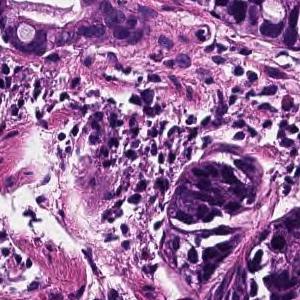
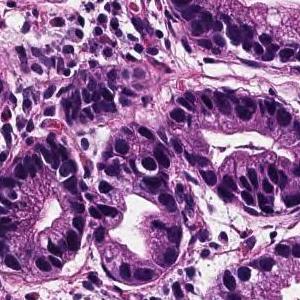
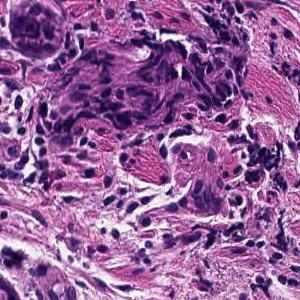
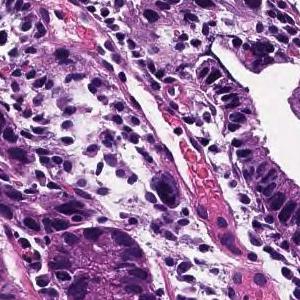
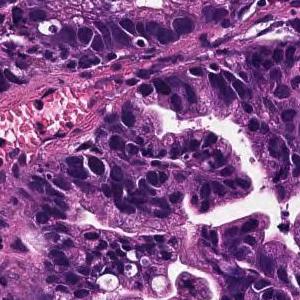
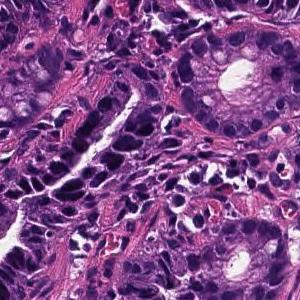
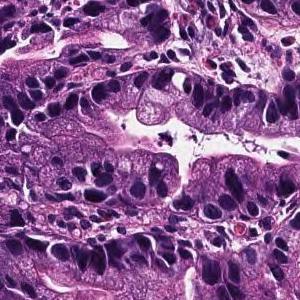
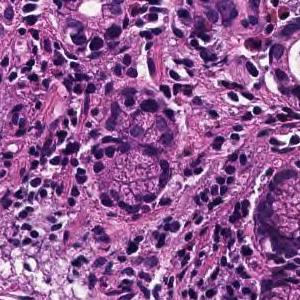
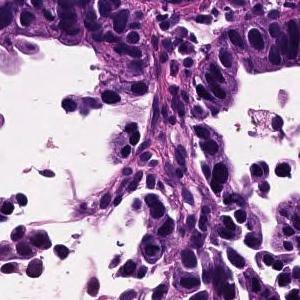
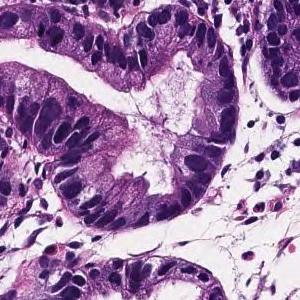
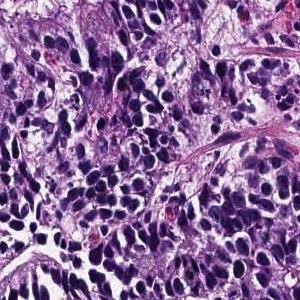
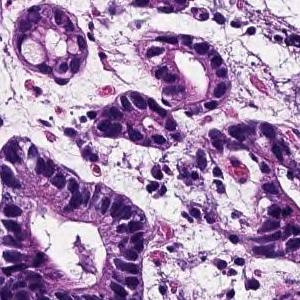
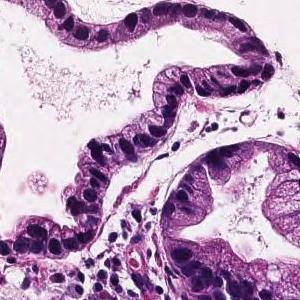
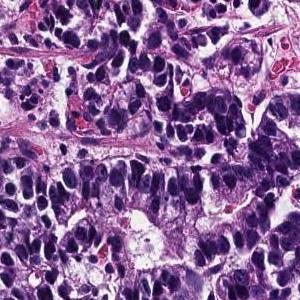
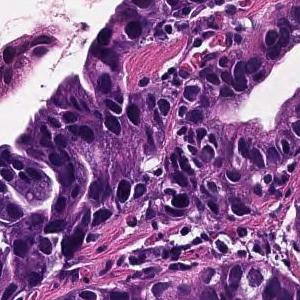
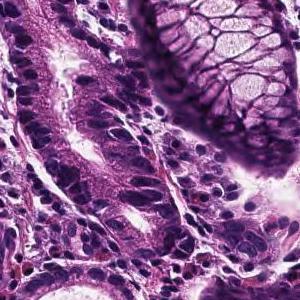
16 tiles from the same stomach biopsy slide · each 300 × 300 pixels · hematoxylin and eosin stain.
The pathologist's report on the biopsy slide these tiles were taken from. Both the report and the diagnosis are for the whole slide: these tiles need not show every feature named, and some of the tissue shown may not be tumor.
Tumor cells are large, highly columnar, large club-shaped nuclei, and are associated with chromatin aggregation. Papillary adenocarcinoma.
